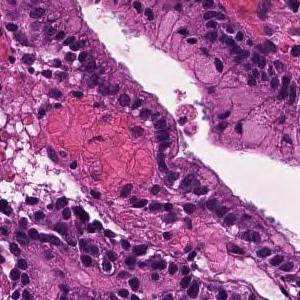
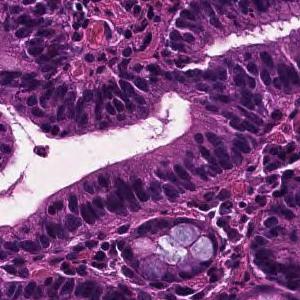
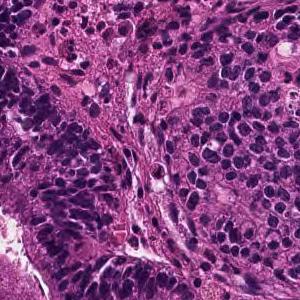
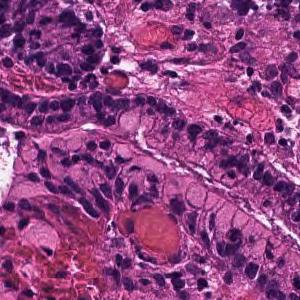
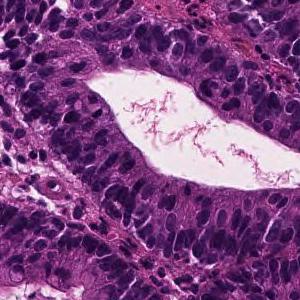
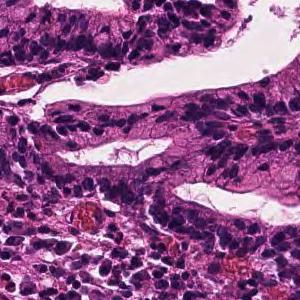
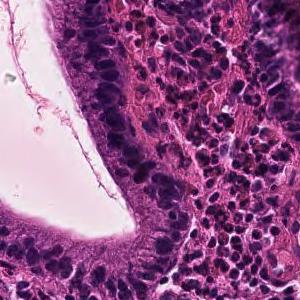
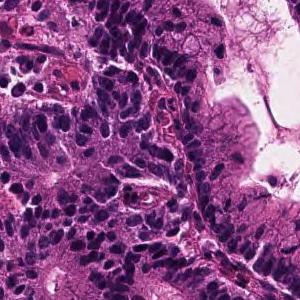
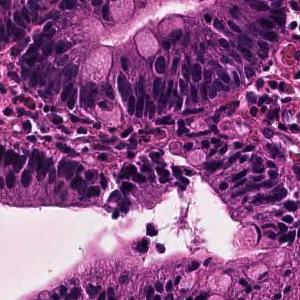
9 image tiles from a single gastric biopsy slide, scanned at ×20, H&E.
Pathology report for the slide these tiles were cut from. Both the report and the diagnosis are for the whole slide: these tiles need not show every feature named, and some of the tissue shown may not be tumor.
In the superficial epithelium, tumor tissue that invades by forming medium-sized to small, irregular ducts is observed. moderately differentiated tubular adenocarcinoma.
